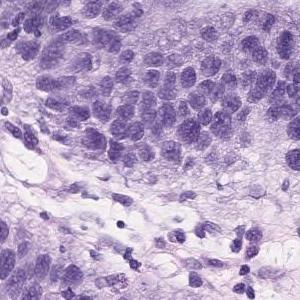
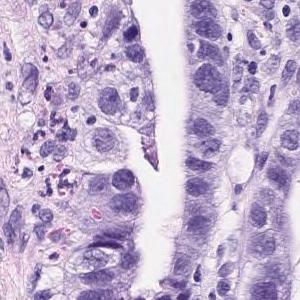
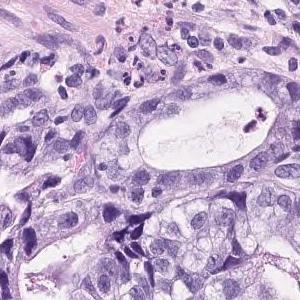
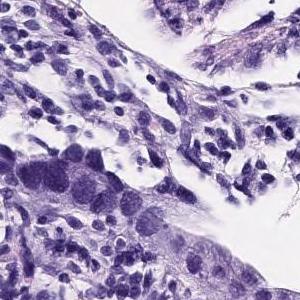
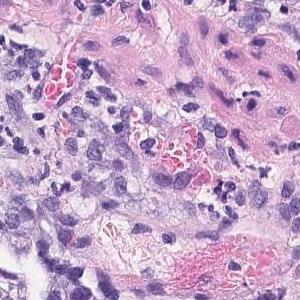
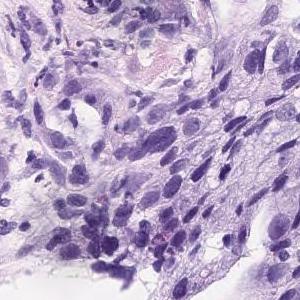
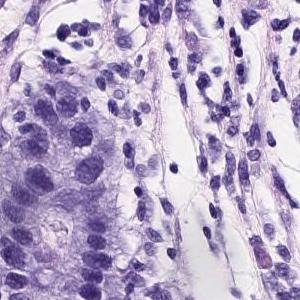
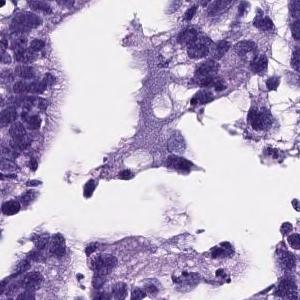
×20; hematoxylin and eosin stain; 8 patches cut from one gastric biopsy slide.
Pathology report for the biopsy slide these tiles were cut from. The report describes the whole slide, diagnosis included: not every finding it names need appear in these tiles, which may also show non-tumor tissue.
On the superficial epithelium, tumor tissue consisting of medium to small irregular tubules partially fused and proliferated is observed. moderately differentiated tubular adenocarcinoma
